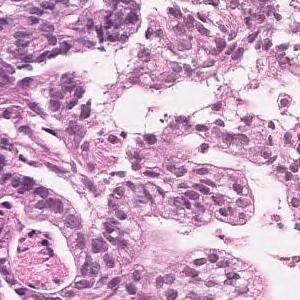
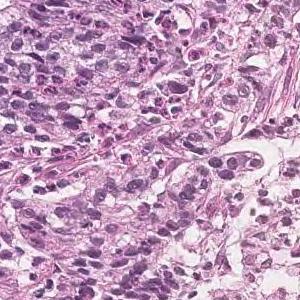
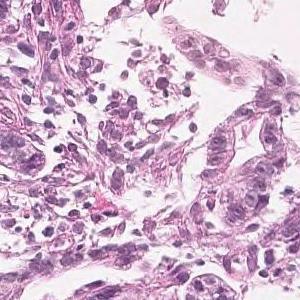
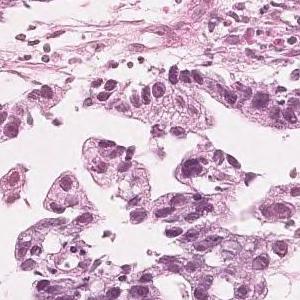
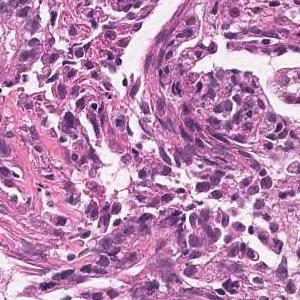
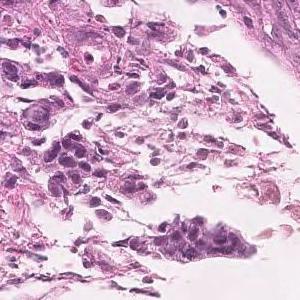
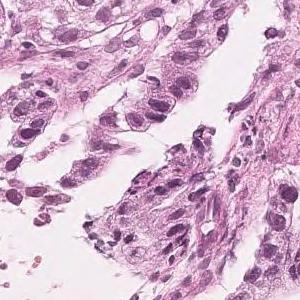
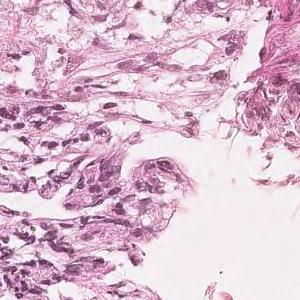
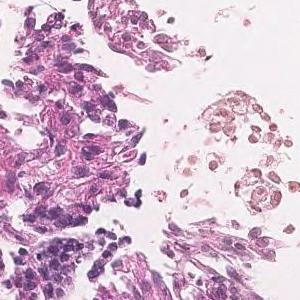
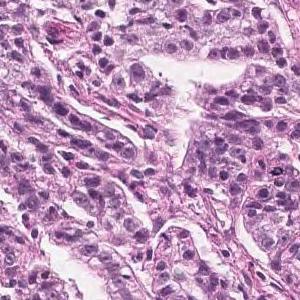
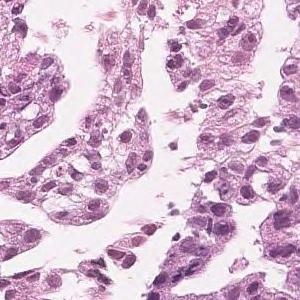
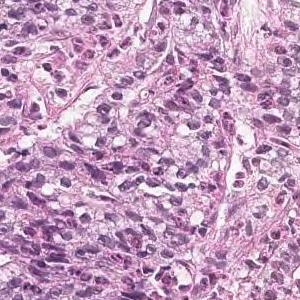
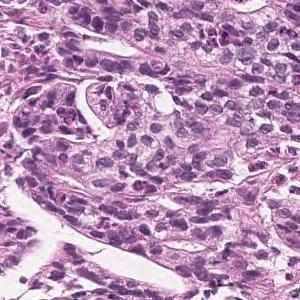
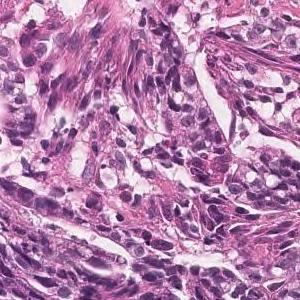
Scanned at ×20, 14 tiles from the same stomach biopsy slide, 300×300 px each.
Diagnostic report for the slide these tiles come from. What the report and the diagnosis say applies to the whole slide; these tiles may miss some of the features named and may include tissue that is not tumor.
Tumor tissue in which highly columnar atypical epithelial cells with nuclear enlargement and increased nuclear chromatin show papillary to papillary ductal structure and proliferate is observed. Papillary adenocarcinoma.
